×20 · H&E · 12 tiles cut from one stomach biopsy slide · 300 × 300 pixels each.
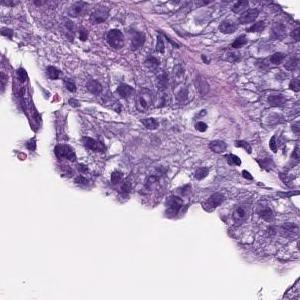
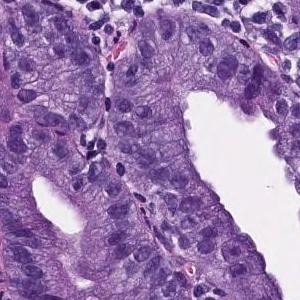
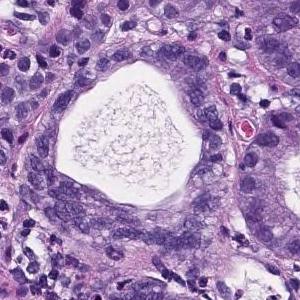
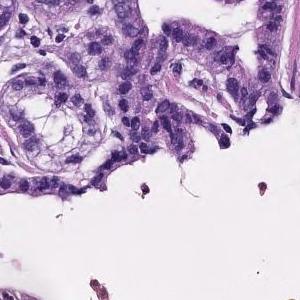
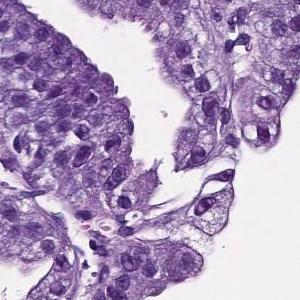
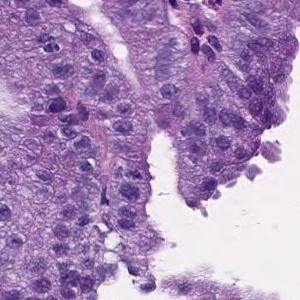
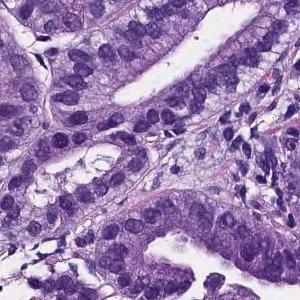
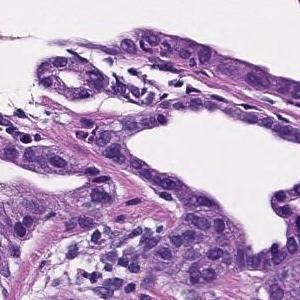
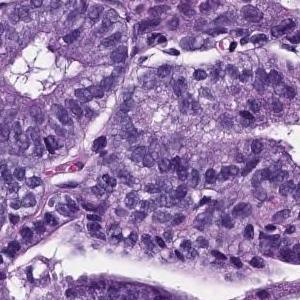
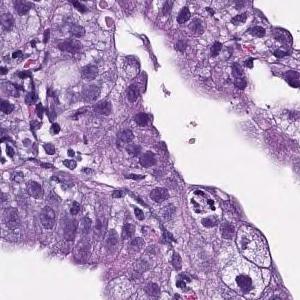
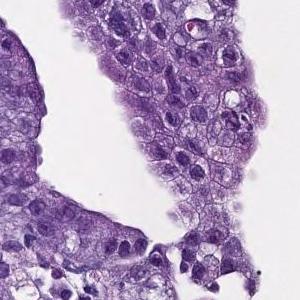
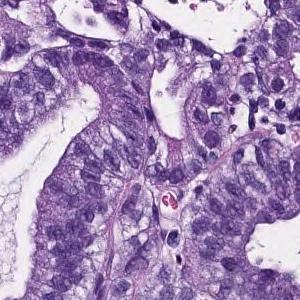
Pathology report for the biopsy slide these tiles were cut from. The report and the diagnosis describe the slide as a whole, so these tiles may not show every feature named and may include non-tumor tissue.
On the superficial epithelium, tumor tissue that infiltrates by forming medium-sized papillary or small irregular ducts is observed. Papillary adenocarcinoma
